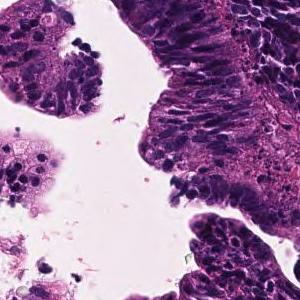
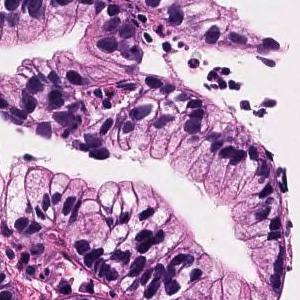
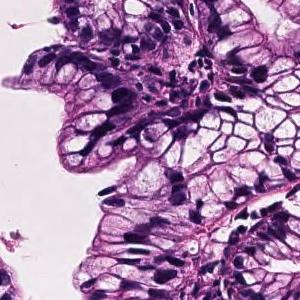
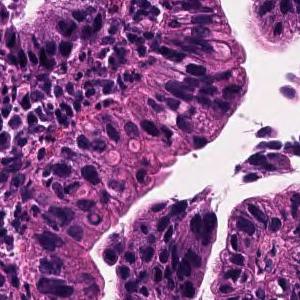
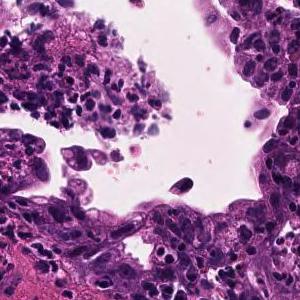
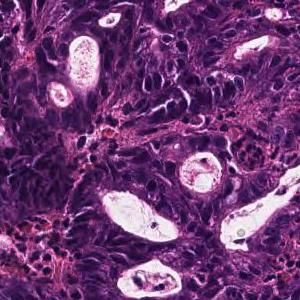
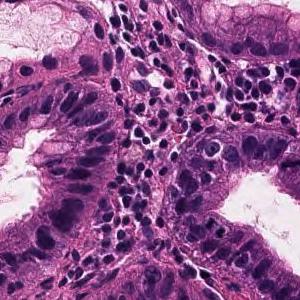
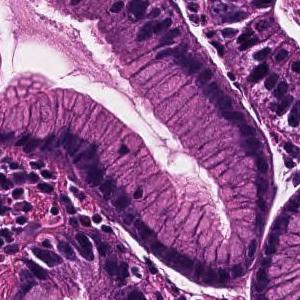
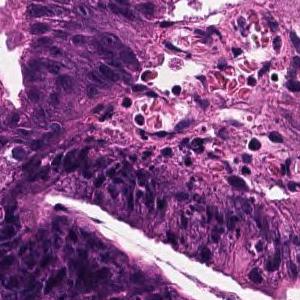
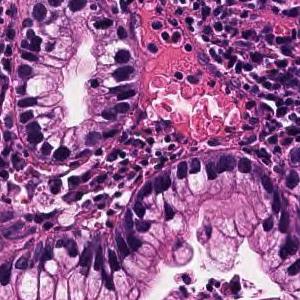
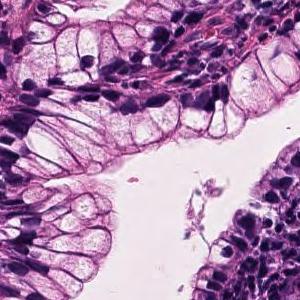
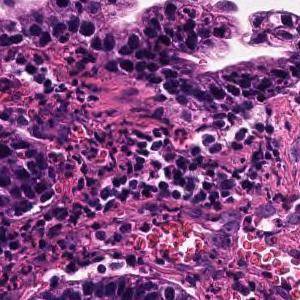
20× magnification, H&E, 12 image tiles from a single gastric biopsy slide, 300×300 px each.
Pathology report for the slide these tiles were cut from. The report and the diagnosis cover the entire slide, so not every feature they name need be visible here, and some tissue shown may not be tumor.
Tumor cells are large, highly columnar, large club-shaped nuclei, and are associated with chromatin aggregation. Papillary adenocarcinoma.
